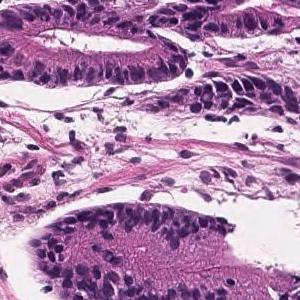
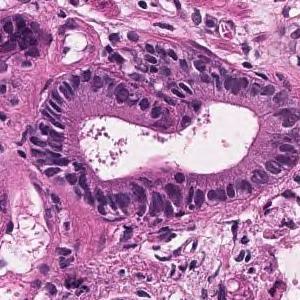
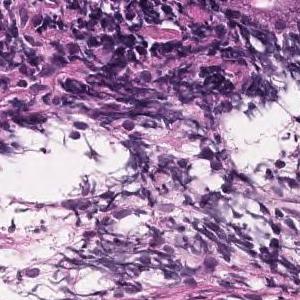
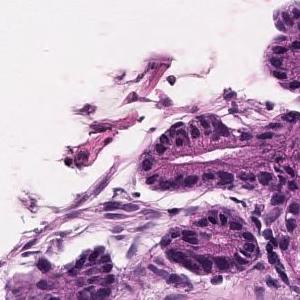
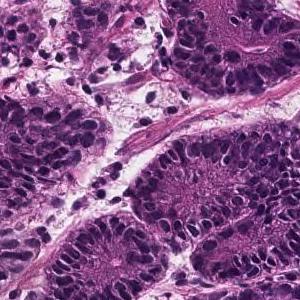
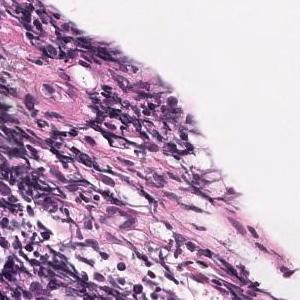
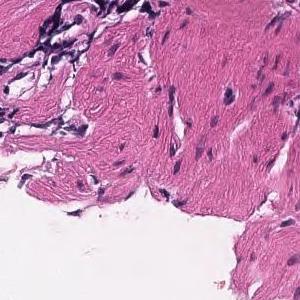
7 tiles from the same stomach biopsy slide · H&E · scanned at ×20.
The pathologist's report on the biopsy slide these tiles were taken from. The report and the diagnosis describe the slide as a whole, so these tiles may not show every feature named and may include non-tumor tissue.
Tumor tissue with atypical epithelium showing irregular ductal or sieving ductal structure and proliferating is observed. Well to moderately differentiated tubular adenocarcinoma (well differentiated tubular adenocarcinoma-moderately differentiated tubular adenocarcinoma)
Histologic type: Well to moderately differentiated tubular adenocarcinoma.
